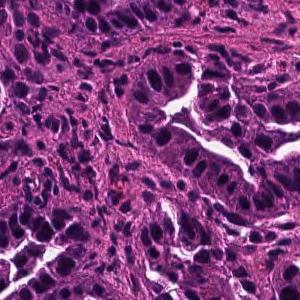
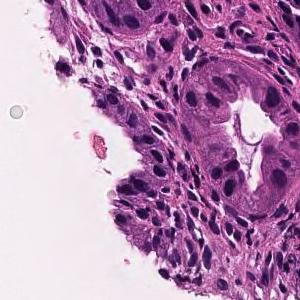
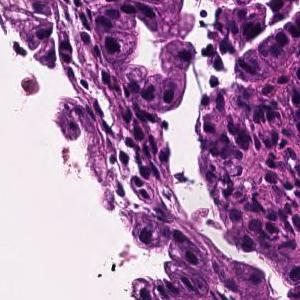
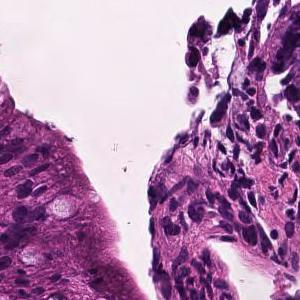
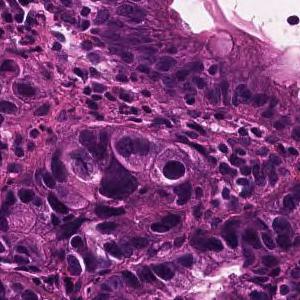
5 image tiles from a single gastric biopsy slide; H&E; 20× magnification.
Report on the slide these tiles come from. The report and the diagnosis cover the entire slide, so not every feature they name need be visible here, and some tissue shown may not be tumor.
In the superficial epithelium, tumor tissue that invades by forming medium-sized to small, irregular ducts is observed. Well differentiated tubular adenocarcinoma.
